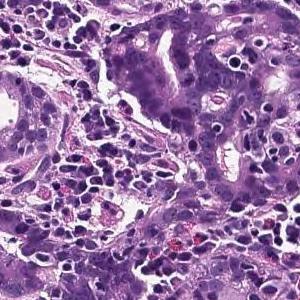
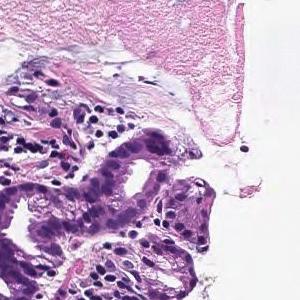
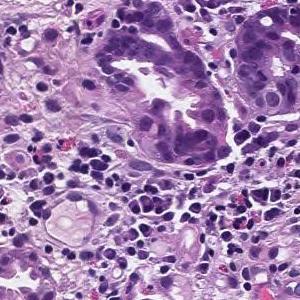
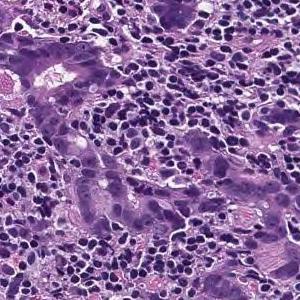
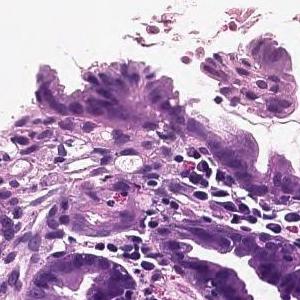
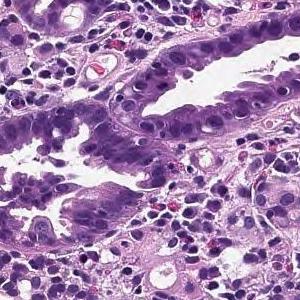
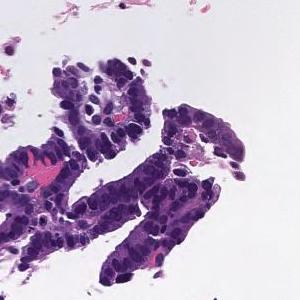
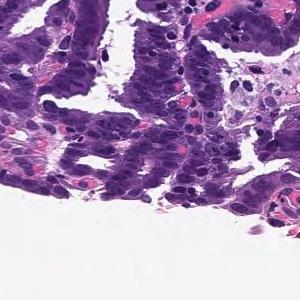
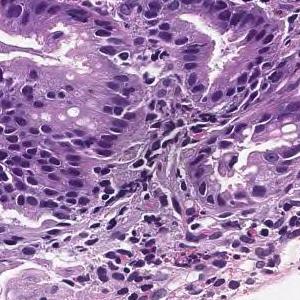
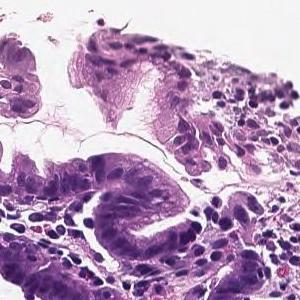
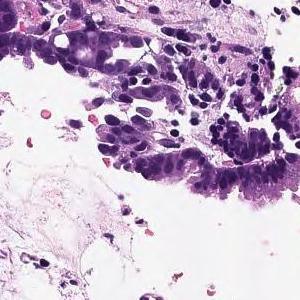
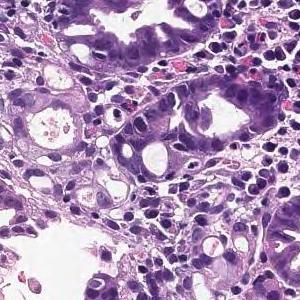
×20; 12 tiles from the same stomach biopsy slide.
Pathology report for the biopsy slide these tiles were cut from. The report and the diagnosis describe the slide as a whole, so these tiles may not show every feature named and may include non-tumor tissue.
In the superficial epithelium, tumor tissue that invades by forming medium-sized to small, irregular ducts is observed. moderately differentiated tubular adenocarcinoma.
